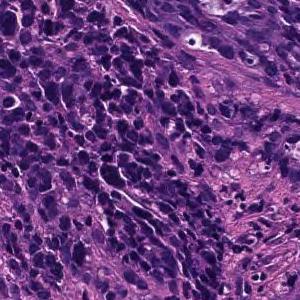
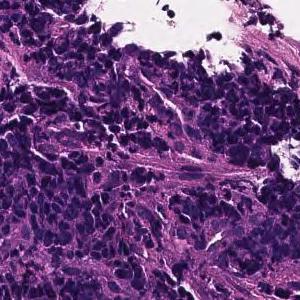
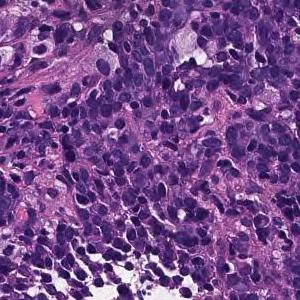
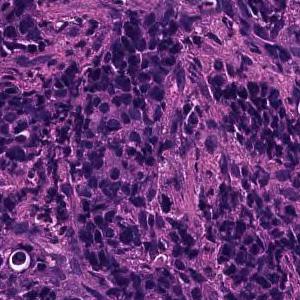
H&E stain · ×20 · 4 patches cut from one gastric biopsy slide.
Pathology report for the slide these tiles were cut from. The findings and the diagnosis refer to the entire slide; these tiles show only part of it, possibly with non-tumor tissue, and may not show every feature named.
Tumor tissue consisting of cord-like or small, irregular glandular ducts fused and infiltrated is observed in the superficial epithelium. Poorly differentiated adenocarcinoma, non-solid type
"Non-solid type" is a category of the Japanese Classification of Gastric Carcinoma.
